×20 · H&E stain · 14 patches cut from one gastric biopsy slide.
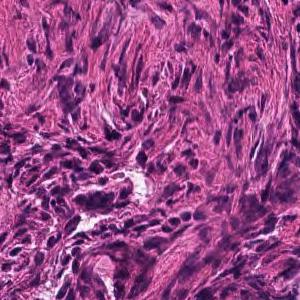
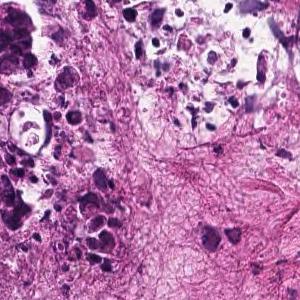
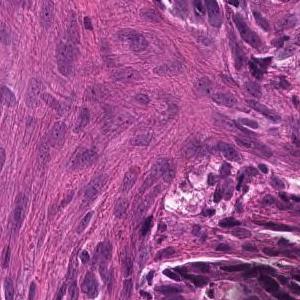
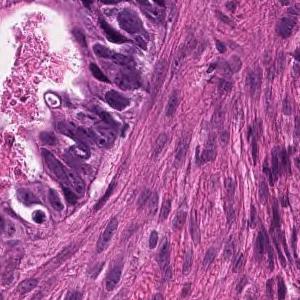
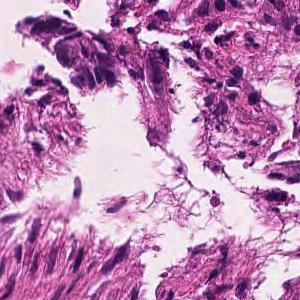
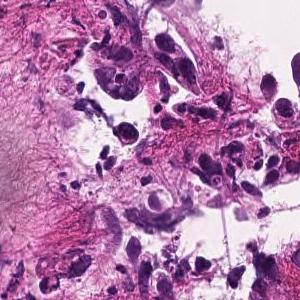
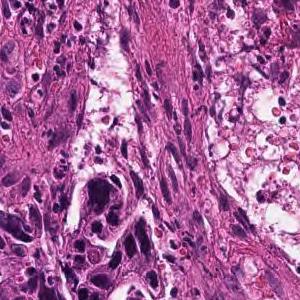
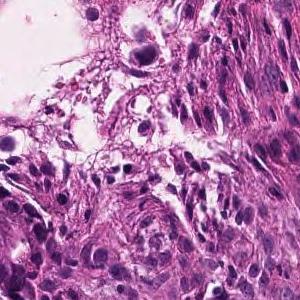
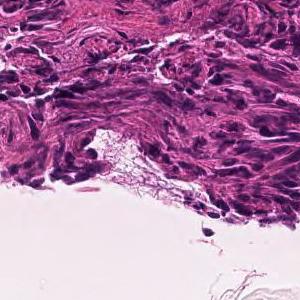
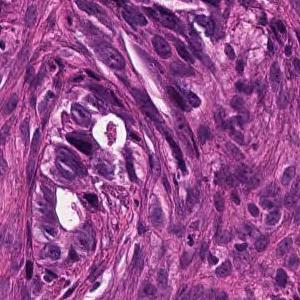
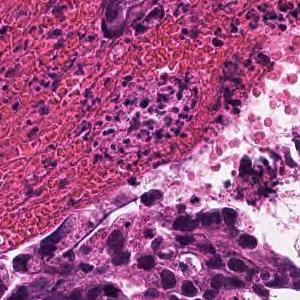
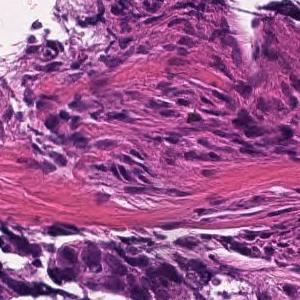
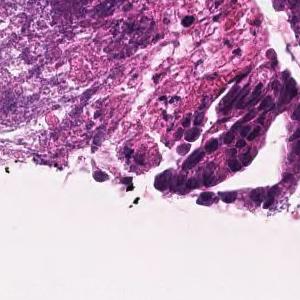
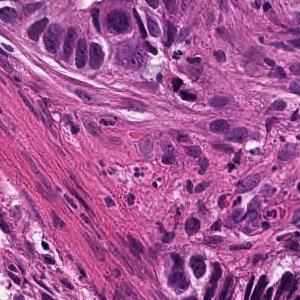
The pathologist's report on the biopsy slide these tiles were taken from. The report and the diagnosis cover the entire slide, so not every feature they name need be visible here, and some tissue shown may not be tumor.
In the superficial epithelium, tumor tissue that invades by forming medium-sized to small, irregular ducts is observed. moderately differentiated tubular adenocarcinoma.
